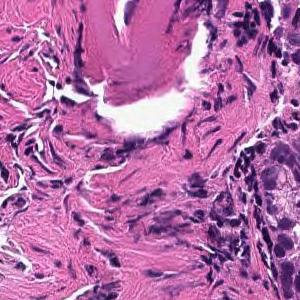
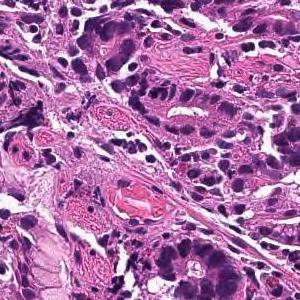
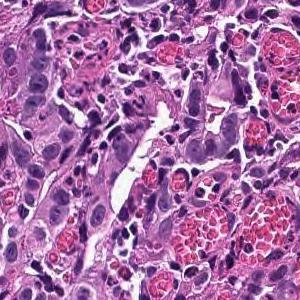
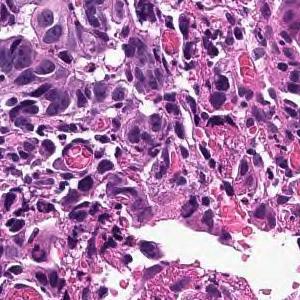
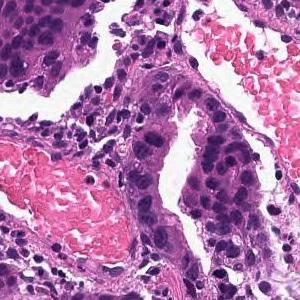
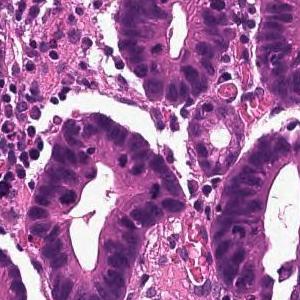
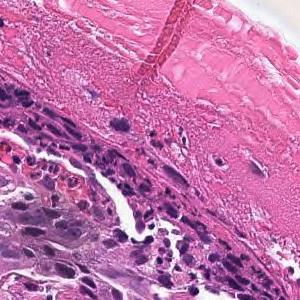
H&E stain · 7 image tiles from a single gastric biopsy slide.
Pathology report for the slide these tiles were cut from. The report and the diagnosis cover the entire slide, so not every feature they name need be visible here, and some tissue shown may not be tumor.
On the superficial epithelium, tumor tissue consisting of large, irregular glandular ducts partially fused and infiltrated is observed. Well to moderately differentiated tubular adenocarcinoma (well differentiated tubular adenocarcinoma, moderately differentiated tubular adenocarcinoma)
Tumor subtype: well to moderately differentiated tubular adenocarcinoma.
